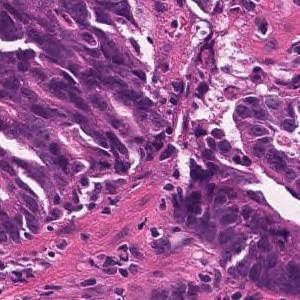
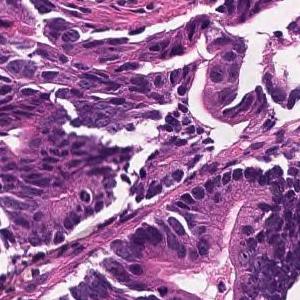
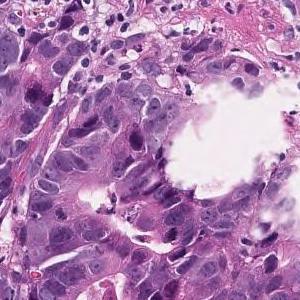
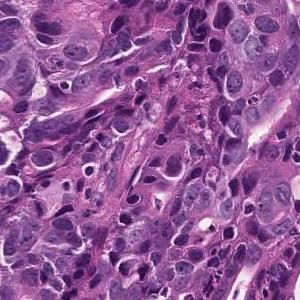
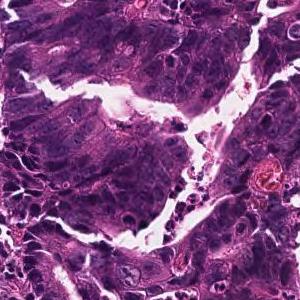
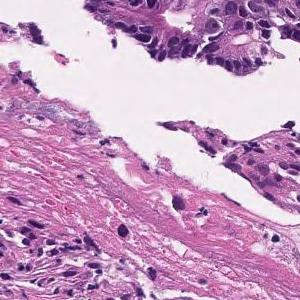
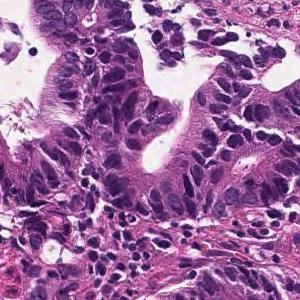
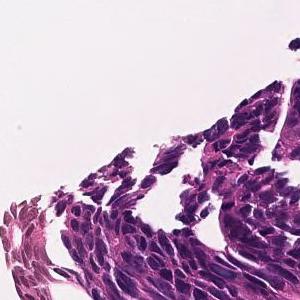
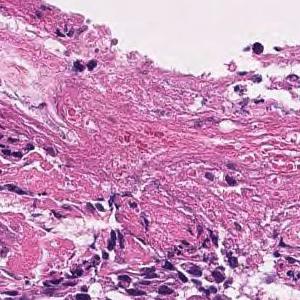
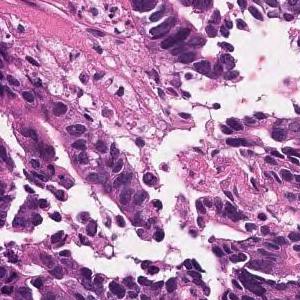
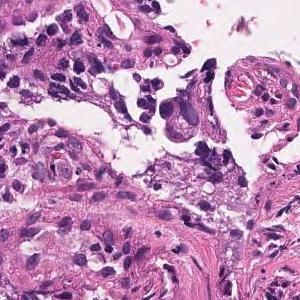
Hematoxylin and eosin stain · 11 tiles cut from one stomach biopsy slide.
Report on the slide these tiles come from. The report and the diagnosis cover the entire slide, so not every feature they name need be visible here, and some tissue shown may not be tumor.
In the superficial epithelium, tumor tissue that invades by forming medium-sized to small, irregular ducts is observed. moderately differentiated tubular adenocarcinoma.
